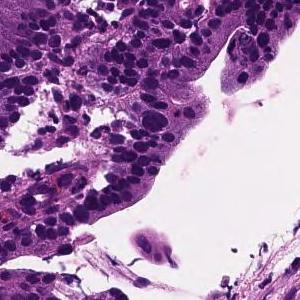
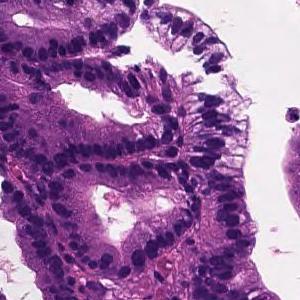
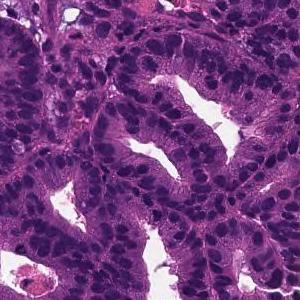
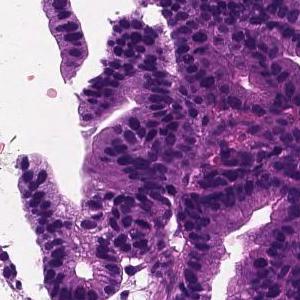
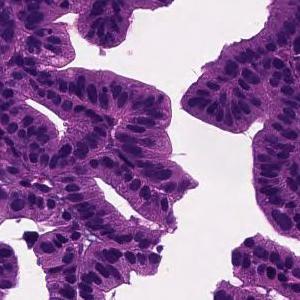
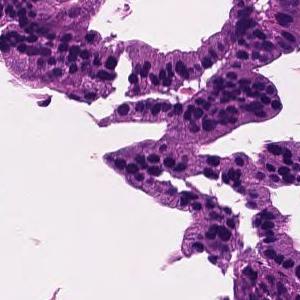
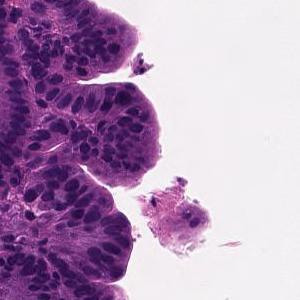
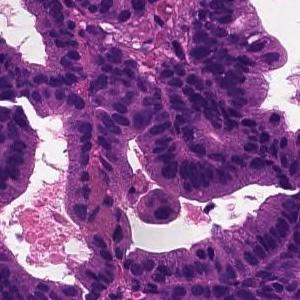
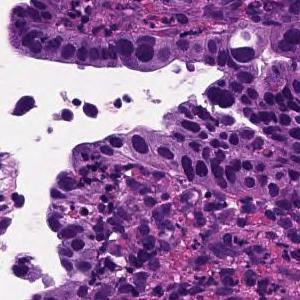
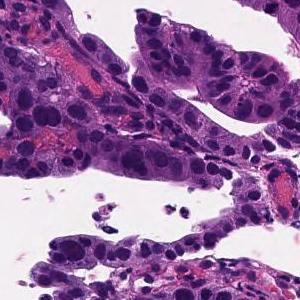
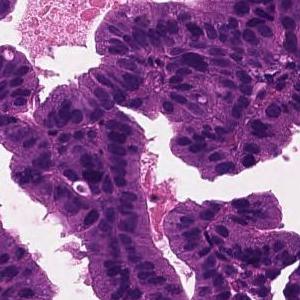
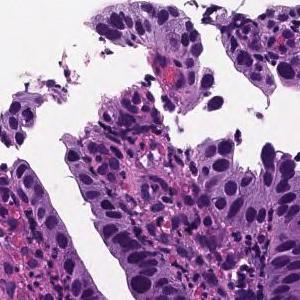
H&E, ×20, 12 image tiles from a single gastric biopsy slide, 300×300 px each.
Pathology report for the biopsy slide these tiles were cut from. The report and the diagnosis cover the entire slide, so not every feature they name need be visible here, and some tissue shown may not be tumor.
Tumor cells are large, highly columnar, large club-shaped nuclei, and are associated with chromatin aggregation. Papillary adenocarcinoma.
